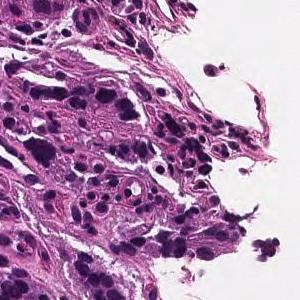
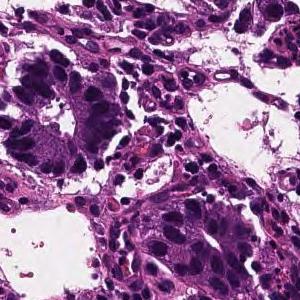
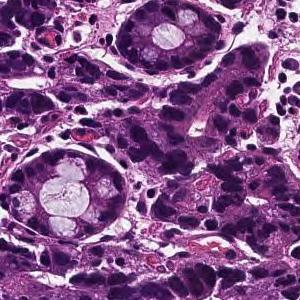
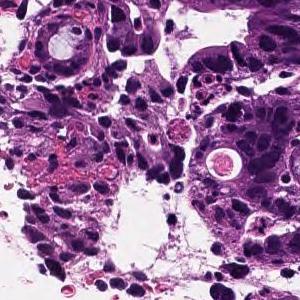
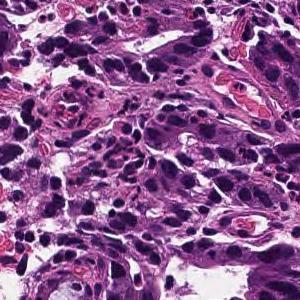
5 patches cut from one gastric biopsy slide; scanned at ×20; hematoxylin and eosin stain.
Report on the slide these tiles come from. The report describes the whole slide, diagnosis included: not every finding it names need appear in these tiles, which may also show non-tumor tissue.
In the superficial epithelium, tumor tissue that invades by forming medium-sized to small, irregular ducts is observed. moderately differentiated tubular adenocarcinoma.
